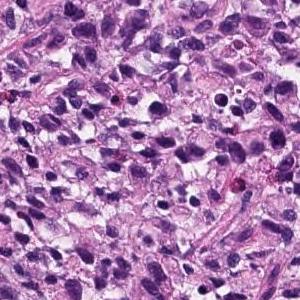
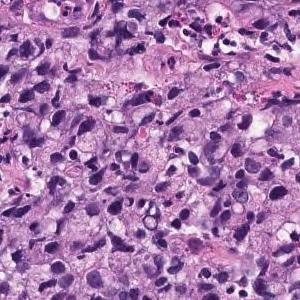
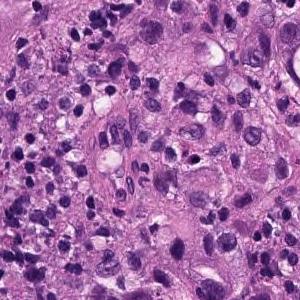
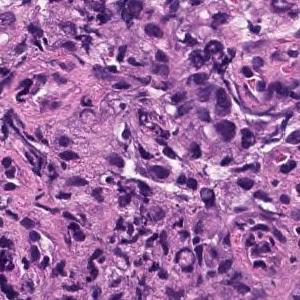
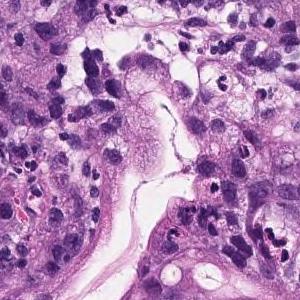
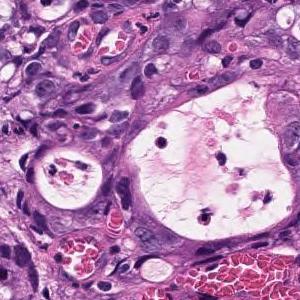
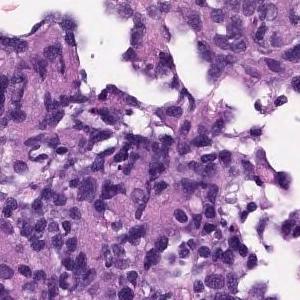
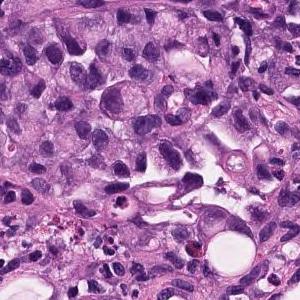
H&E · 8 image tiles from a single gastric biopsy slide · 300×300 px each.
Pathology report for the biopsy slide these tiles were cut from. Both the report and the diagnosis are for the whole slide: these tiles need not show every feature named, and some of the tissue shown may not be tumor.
Atypical epithelium forms irregularly fused gland ducts and proliferates. Poorly differentiated adenocarcinoma.
Histological subtype: Poorly differentiated adenocarcinoma, non-solid type.
"Non-solid type" is a category of the Japanese Classification of Gastric Carcinoma.
